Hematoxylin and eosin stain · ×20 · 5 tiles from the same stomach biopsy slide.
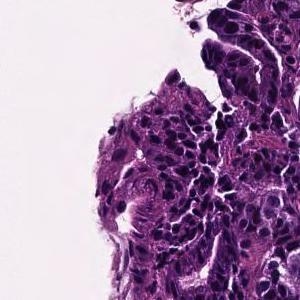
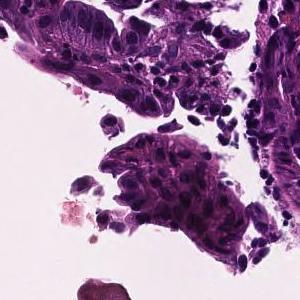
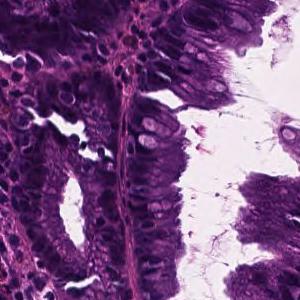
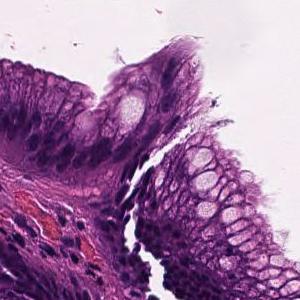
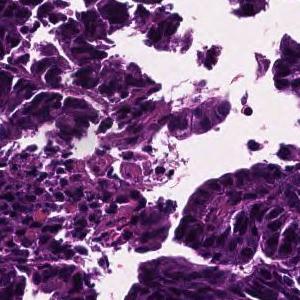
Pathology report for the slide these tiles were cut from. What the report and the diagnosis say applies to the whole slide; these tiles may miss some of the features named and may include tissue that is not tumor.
In the superficial epithelium, tumor tissue that invades by forming medium-sized to small, irregular ducts is observed. Well differentiated tubular adenocarcinoma.
